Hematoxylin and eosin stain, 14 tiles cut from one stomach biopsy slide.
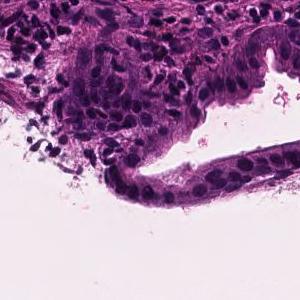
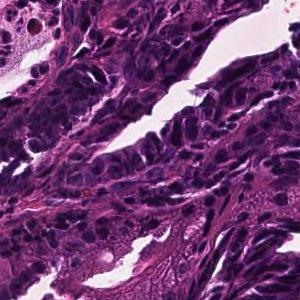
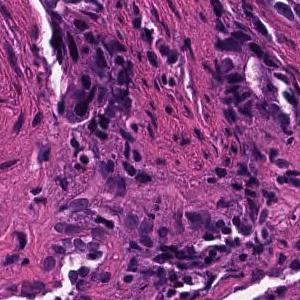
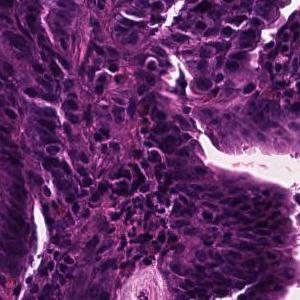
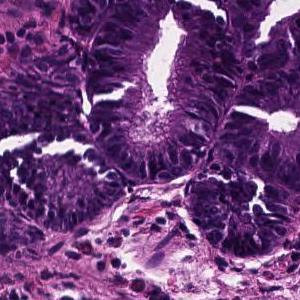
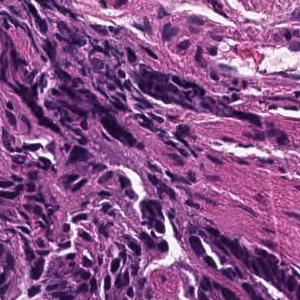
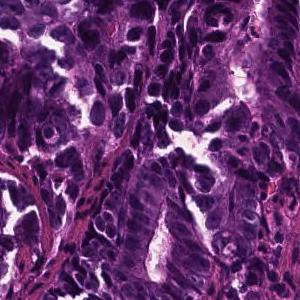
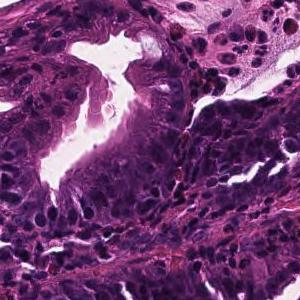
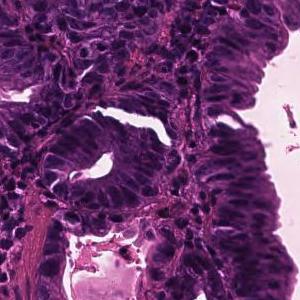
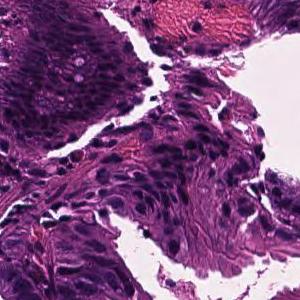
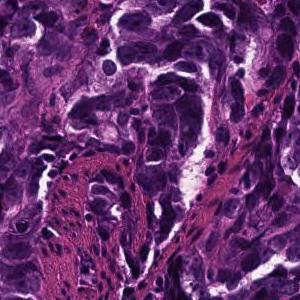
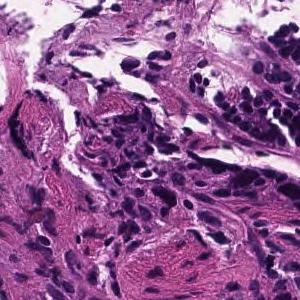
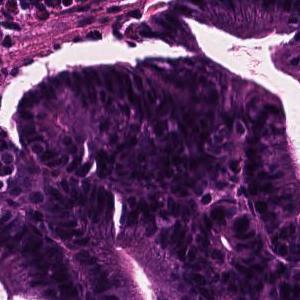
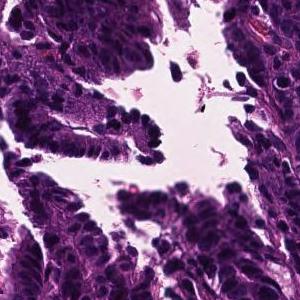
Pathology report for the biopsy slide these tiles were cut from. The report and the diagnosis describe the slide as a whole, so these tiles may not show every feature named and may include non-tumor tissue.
In the superficial epithelium, tumor tissue that invades by forming medium-sized to small, irregular ducts is observed. moderately differentiated tubular adenocarcinoma.
